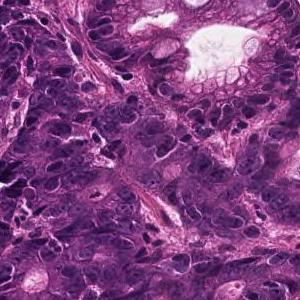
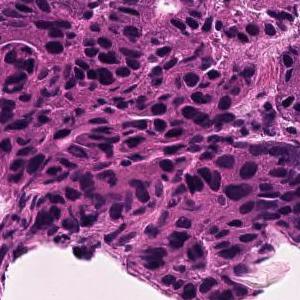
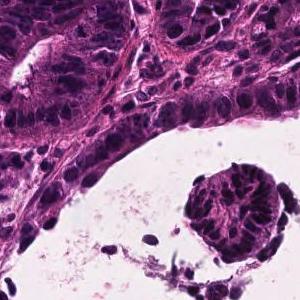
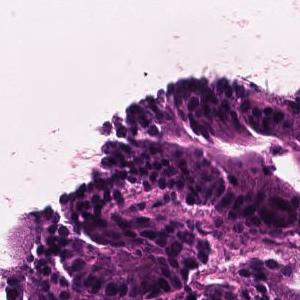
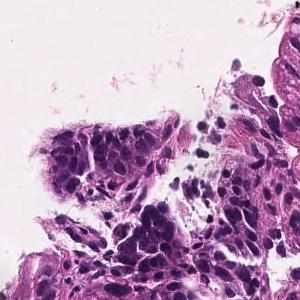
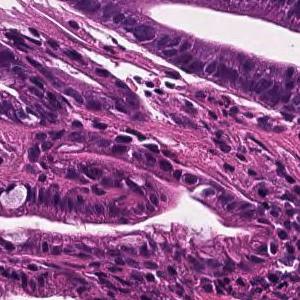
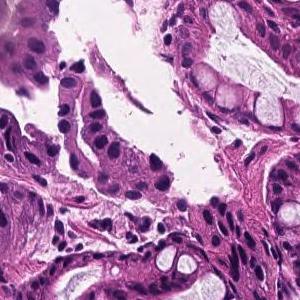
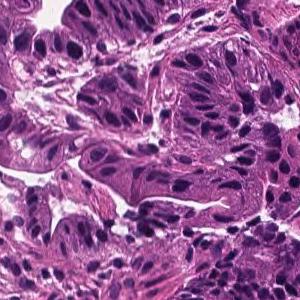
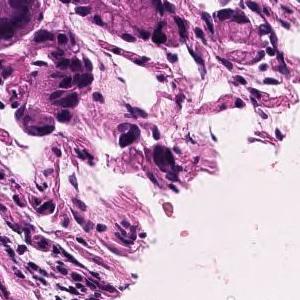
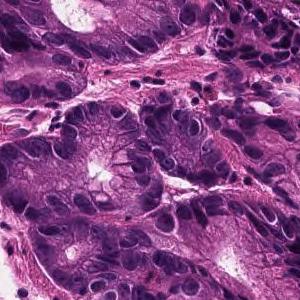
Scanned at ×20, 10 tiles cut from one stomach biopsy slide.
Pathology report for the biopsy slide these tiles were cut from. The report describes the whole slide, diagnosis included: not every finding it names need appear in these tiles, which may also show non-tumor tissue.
In the superficial epithelium, tumor tissue that invades by forming medium-sized to small, irregular ducts is observed. Well differentiated tubular adenocarcinoma.
